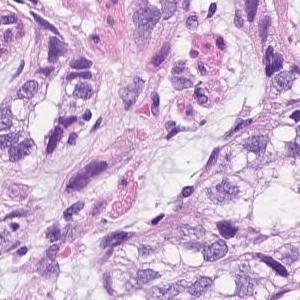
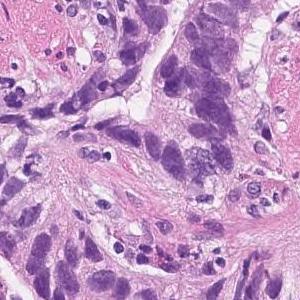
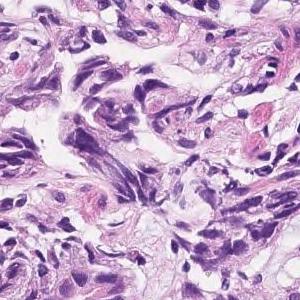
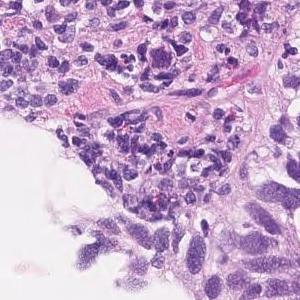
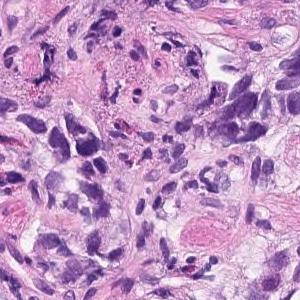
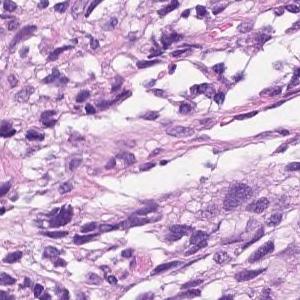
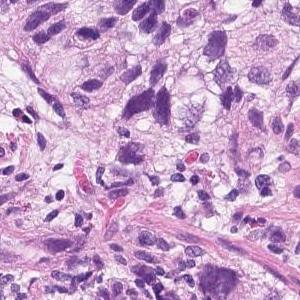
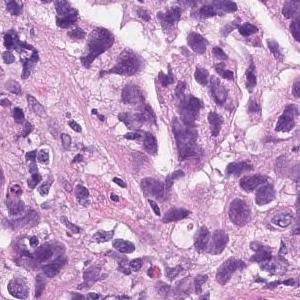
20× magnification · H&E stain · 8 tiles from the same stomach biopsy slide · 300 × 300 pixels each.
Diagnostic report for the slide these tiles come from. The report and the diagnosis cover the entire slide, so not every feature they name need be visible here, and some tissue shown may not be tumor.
In the superficial epithelium, tumor tissue that invades by forming medium-sized to small, irregular ducts is observed. Moderately differentiated adenocarcinoma.
Histological subtype: Moderately differentiated tubular adenocarcinoma.
